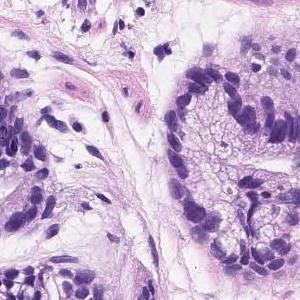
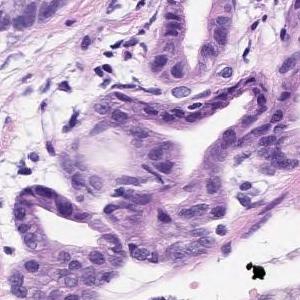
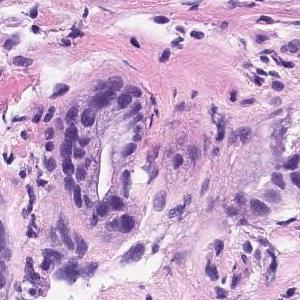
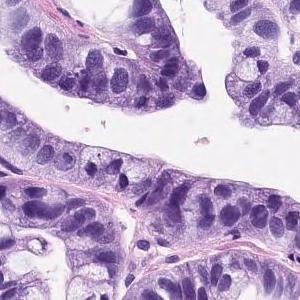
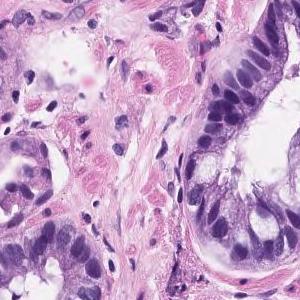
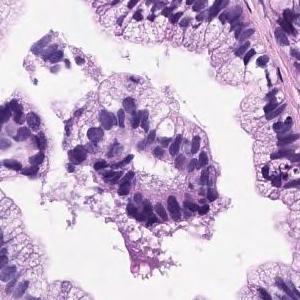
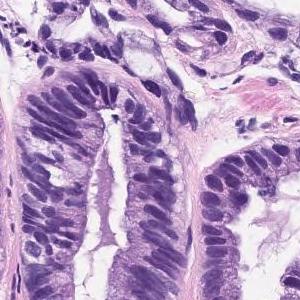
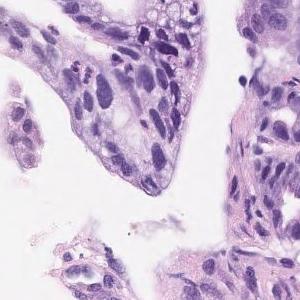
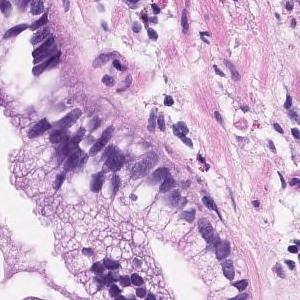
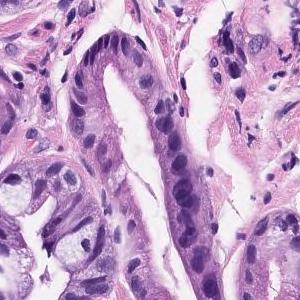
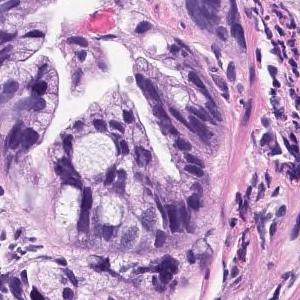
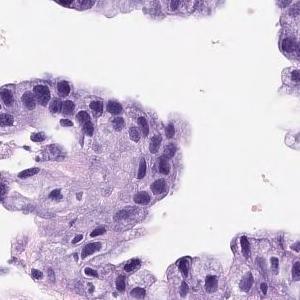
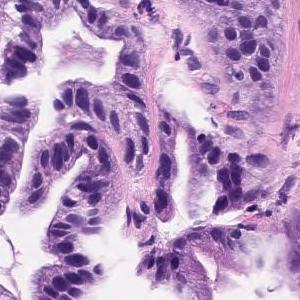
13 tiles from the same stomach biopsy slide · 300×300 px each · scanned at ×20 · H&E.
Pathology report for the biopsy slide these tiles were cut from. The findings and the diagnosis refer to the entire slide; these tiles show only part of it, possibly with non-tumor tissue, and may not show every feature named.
The superficial tumors shows large papillary structures or large and small ducts and infiltrates. Papillary adenocarcinoma.
